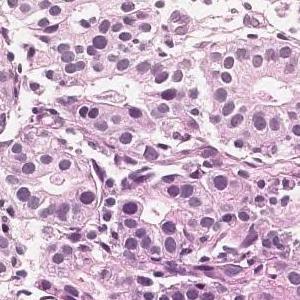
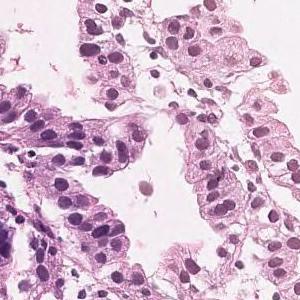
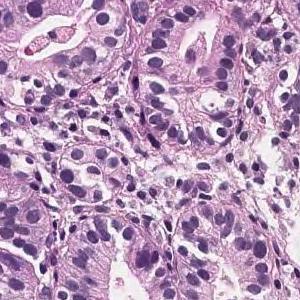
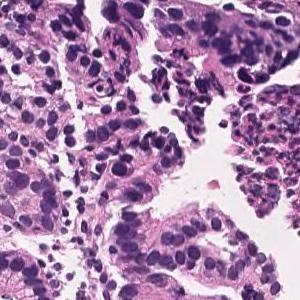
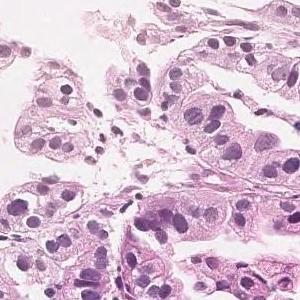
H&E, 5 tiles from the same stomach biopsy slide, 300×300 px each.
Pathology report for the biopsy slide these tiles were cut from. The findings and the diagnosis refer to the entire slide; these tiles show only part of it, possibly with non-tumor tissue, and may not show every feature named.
In the superficial epithelium, tumor tissue that invades by forming medium-sized to small, irregular ducts is observed. moderately differentiated tubular adenocarcinoma.
